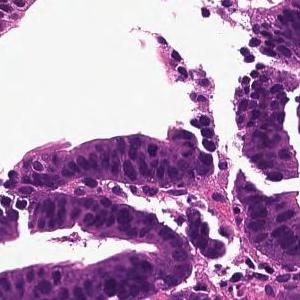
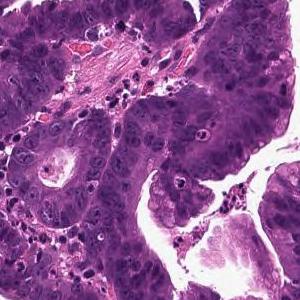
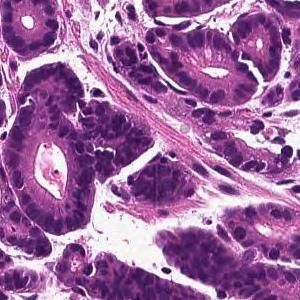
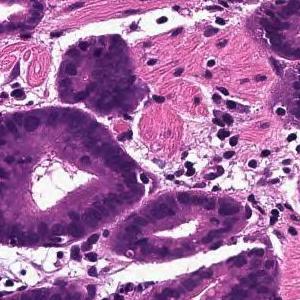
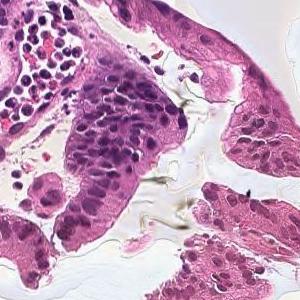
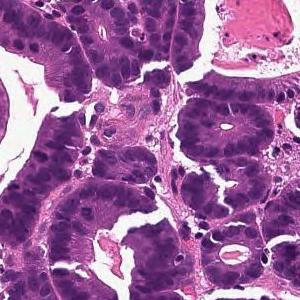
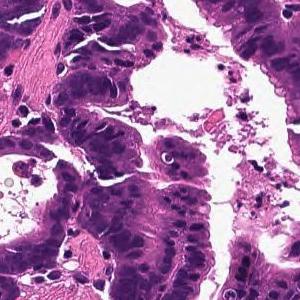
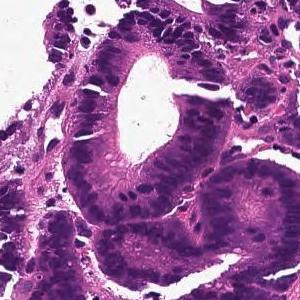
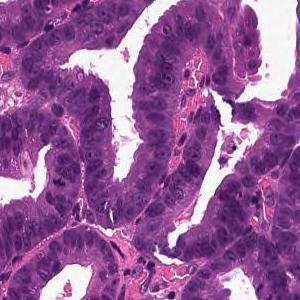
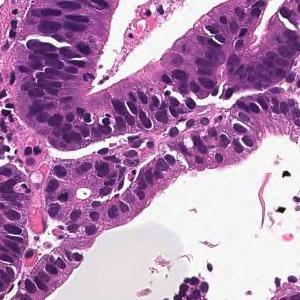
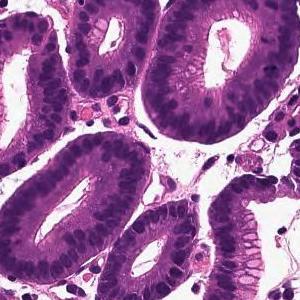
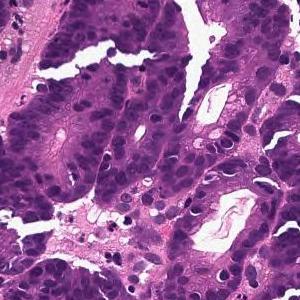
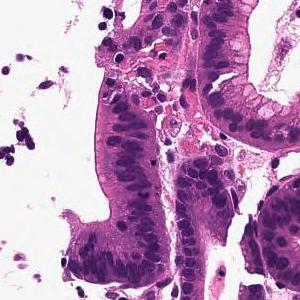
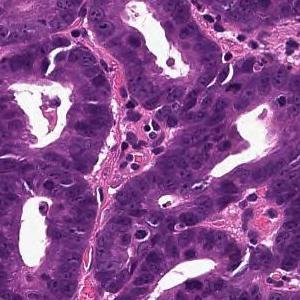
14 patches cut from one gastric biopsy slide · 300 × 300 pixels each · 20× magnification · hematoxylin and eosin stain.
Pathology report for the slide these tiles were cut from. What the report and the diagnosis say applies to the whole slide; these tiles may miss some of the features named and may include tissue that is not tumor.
From the superficial epithelium to the muscularis mucosae, tumor tissue consisting of medium-sized and irregular glandular ducts infiltrating is observed. Well differentiated tubular adenocarcinoma
